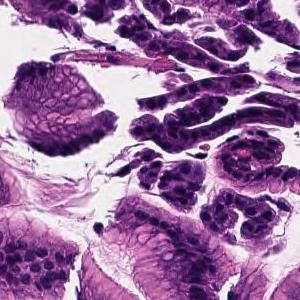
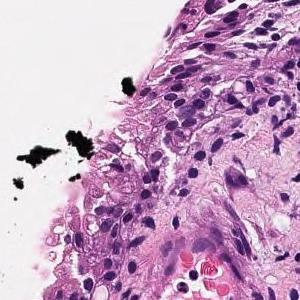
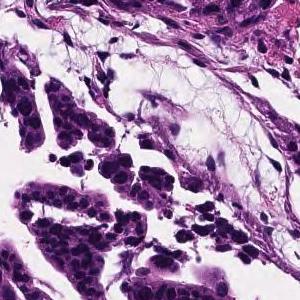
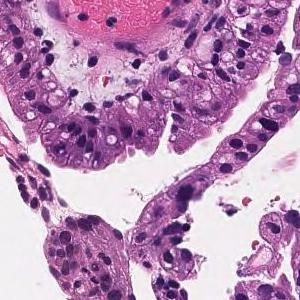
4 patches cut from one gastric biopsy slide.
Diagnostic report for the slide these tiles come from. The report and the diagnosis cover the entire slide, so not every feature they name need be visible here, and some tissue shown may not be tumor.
On the superficial epithelium, tumor tissue that infiltrates by forming medium-sized papillary or small irregular ducts is observed. Papillary adenocarcinoma
